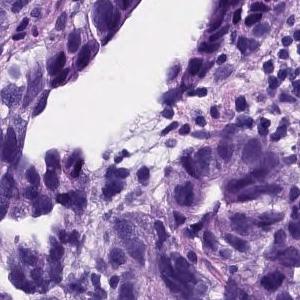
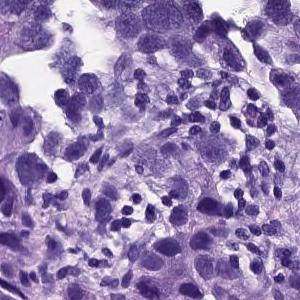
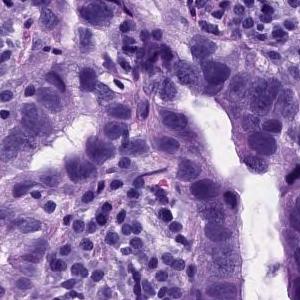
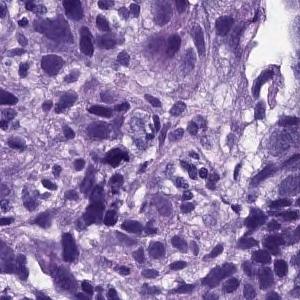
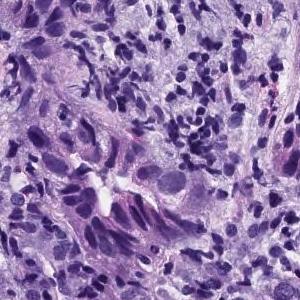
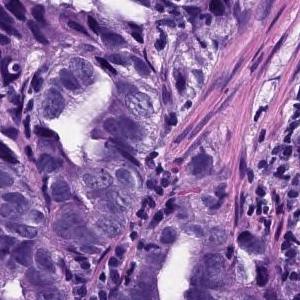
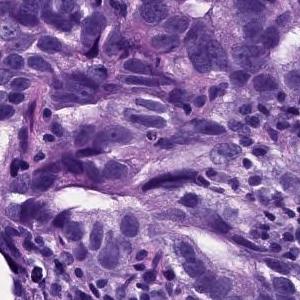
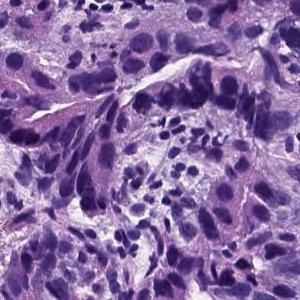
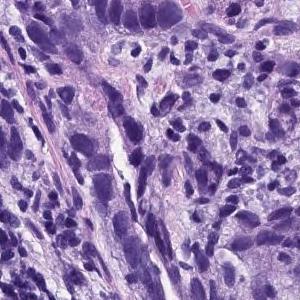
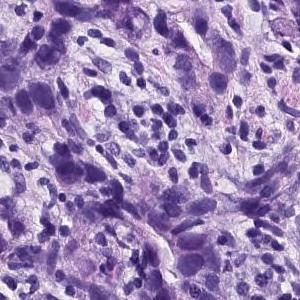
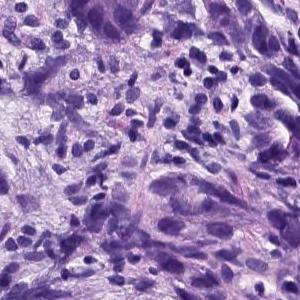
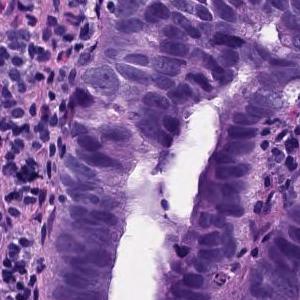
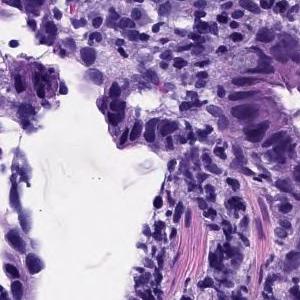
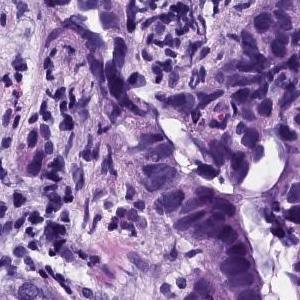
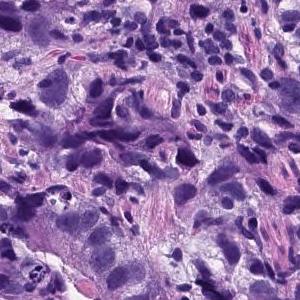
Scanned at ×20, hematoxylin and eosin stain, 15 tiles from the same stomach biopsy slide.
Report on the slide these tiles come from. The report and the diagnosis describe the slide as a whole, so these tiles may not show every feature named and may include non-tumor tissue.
In the superficial epithelium, tumor tissue that invades by forming medium-sized to small, irregular ducts is observed. Moderately differentiated adenocarcinoma.
Histological subtype: Moderately differentiated tubular adenocarcinoma.
